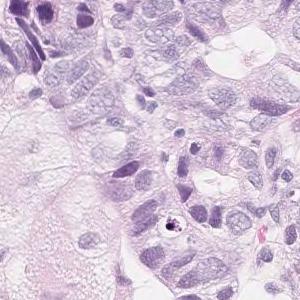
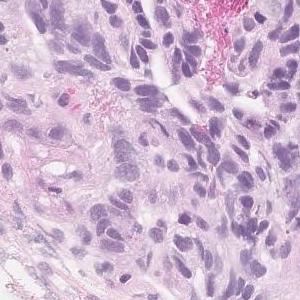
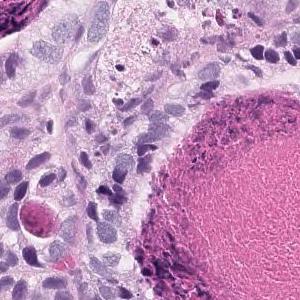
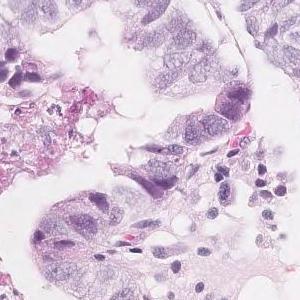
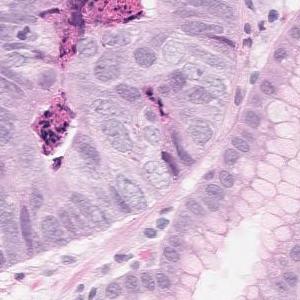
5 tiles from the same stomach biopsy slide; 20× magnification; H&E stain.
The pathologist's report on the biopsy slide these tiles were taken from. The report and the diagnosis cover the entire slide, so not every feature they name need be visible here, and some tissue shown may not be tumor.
In the superficial epithelium, tumor tissue that invades by forming medium-sized to small, irregular ducts is observed. Moderately differentiated adenocarcinoma.
Histologic type: Moderately differentiated tubular adenocarcinoma.
